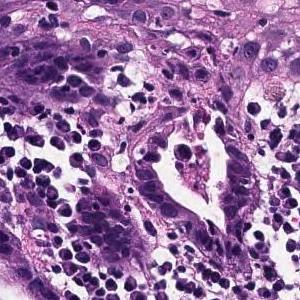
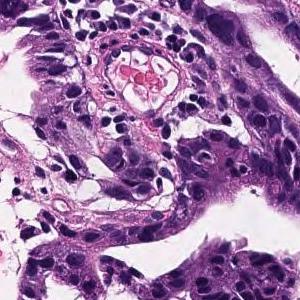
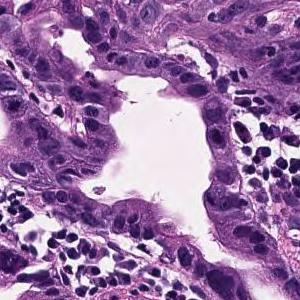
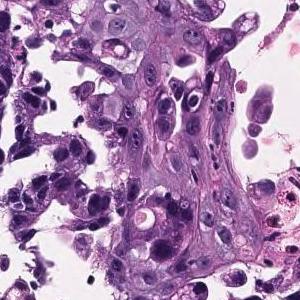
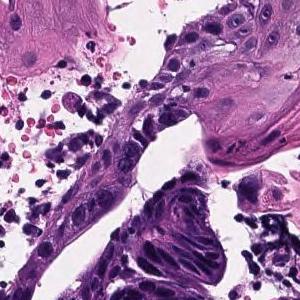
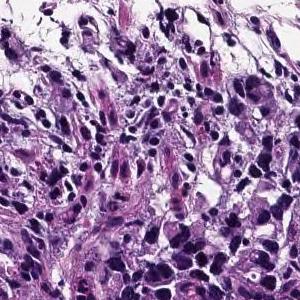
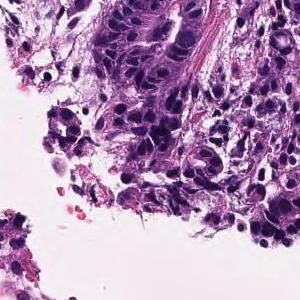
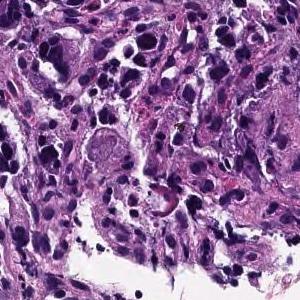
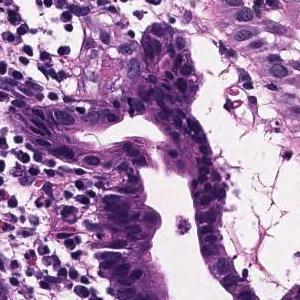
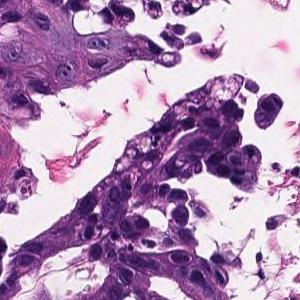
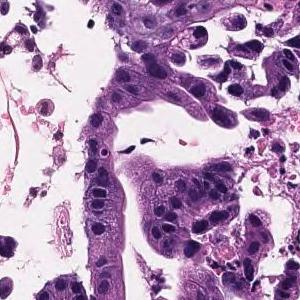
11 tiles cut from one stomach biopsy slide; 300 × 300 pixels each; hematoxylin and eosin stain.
Pathology report for the biopsy slide these tiles were cut from. The report and the diagnosis describe the slide as a whole, so these tiles may not show every feature named and may include non-tumor tissue.
In the superficial epithelium, tumor tissue that invades by forming medium-sized to small, irregular ducts is observed. moderately differentiated tubular adenocarcinoma.
